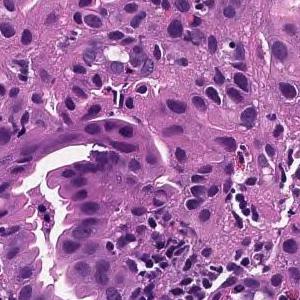
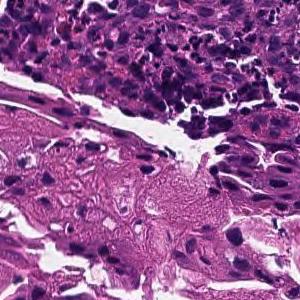
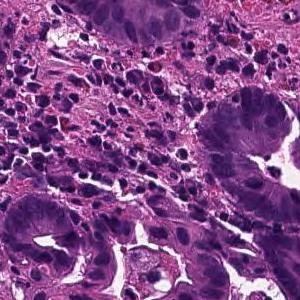
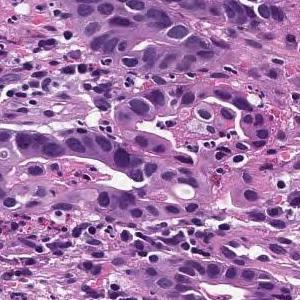
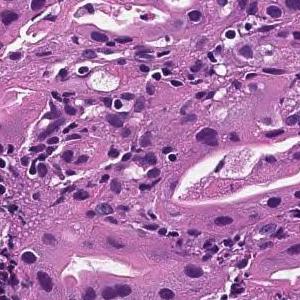
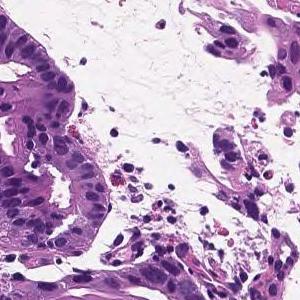
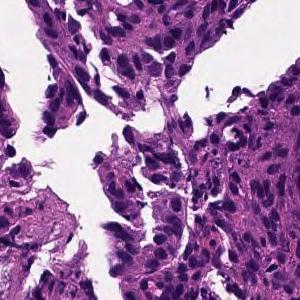
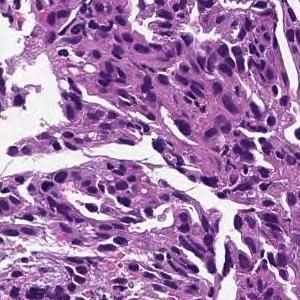
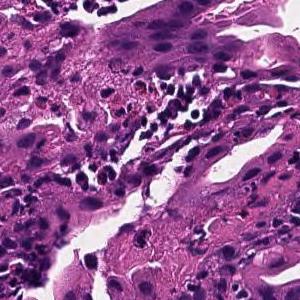
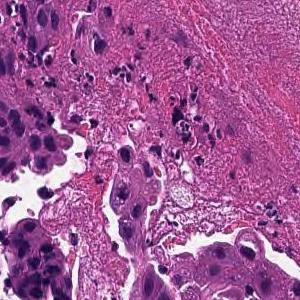
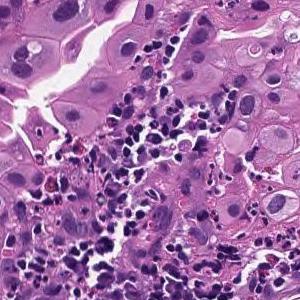
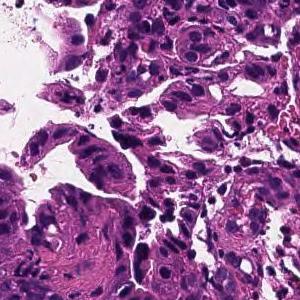
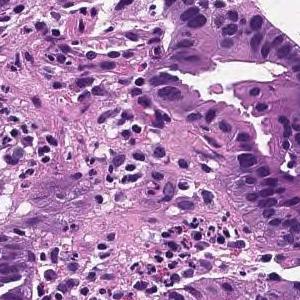
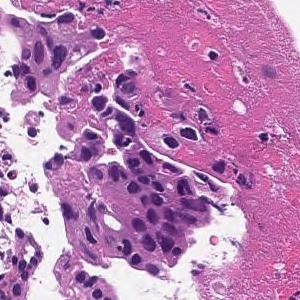
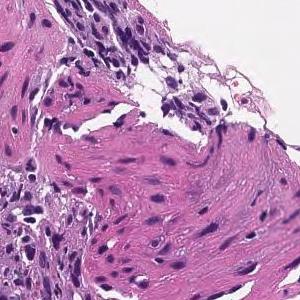
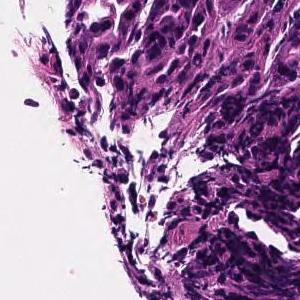
H&E stain · 20× magnification · 16 image tiles from a single gastric biopsy slide · 300×300 px each.
Report on the slide these tiles come from. What the report and the diagnosis say applies to the whole slide; these tiles may miss some of the features named and may include tissue that is not tumor.
In the superficial epithelium, tumor tissue that invades by forming medium-sized to small, irregular ducts is observed. moderately differentiated tubular adenocarcinoma.
